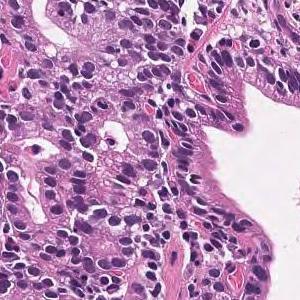
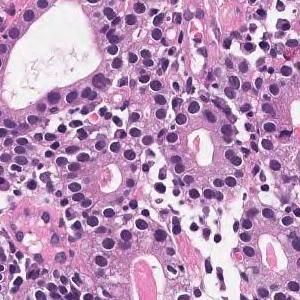
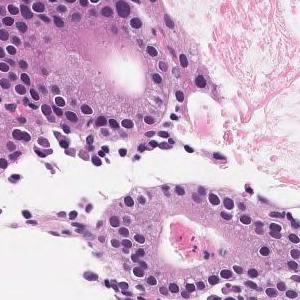
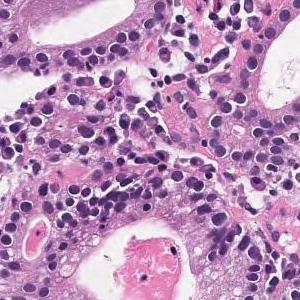
Hematoxylin and eosin stain · 20× magnification · 4 patches cut from one gastric biopsy slide · 300×300 px each.
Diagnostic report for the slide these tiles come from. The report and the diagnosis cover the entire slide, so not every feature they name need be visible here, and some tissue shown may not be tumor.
Medium to small, irregular glandular ducts are formed in the superficial epithelium, and in some cases, the glandular ducts are fused to show solid alveolar lesions and infiltrating tumor tissue is observed. Moderately to poorly differentiated adenocarcinoma.
